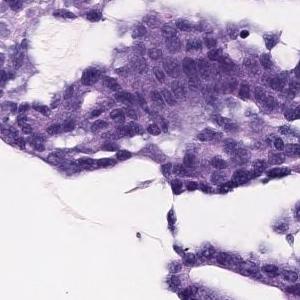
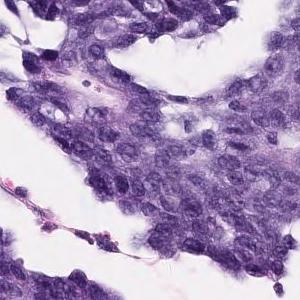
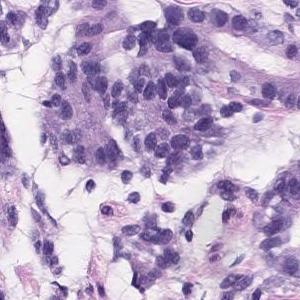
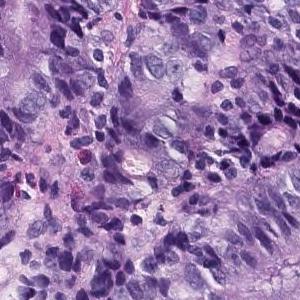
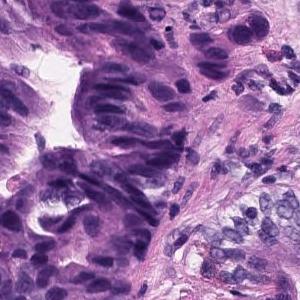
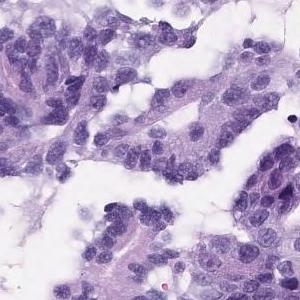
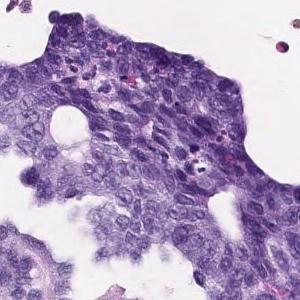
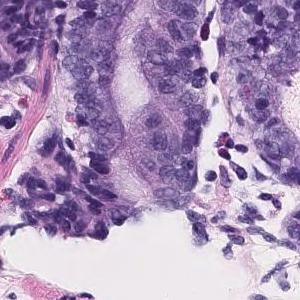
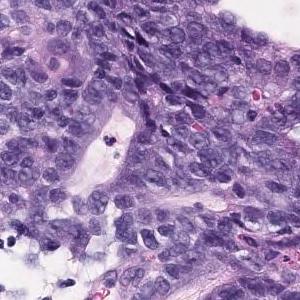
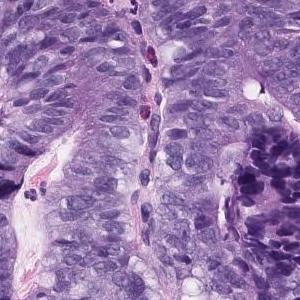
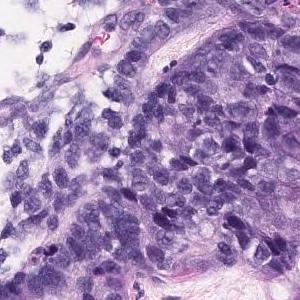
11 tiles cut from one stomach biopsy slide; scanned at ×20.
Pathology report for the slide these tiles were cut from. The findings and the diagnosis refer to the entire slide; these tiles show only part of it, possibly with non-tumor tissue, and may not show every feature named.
In the superficial epithelium, tumor tissue that invades by forming medium-sized to small, irregular ducts is observed. Well to moderately differentiated tubular adenocarcinoma.
